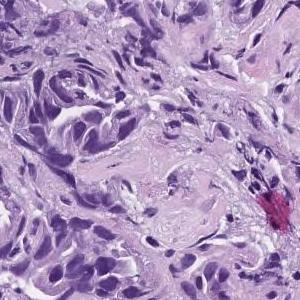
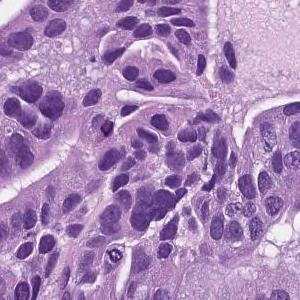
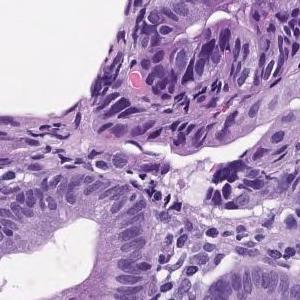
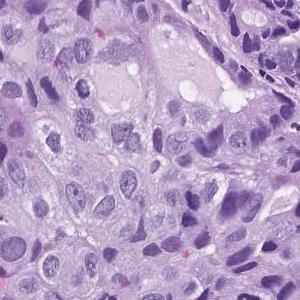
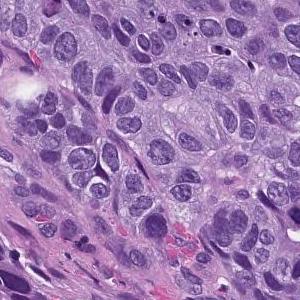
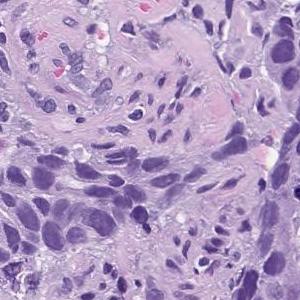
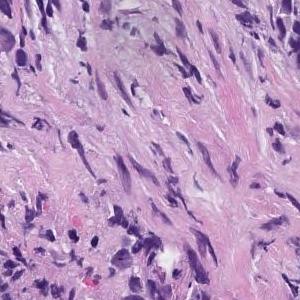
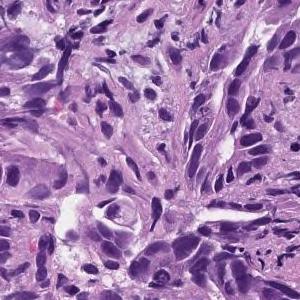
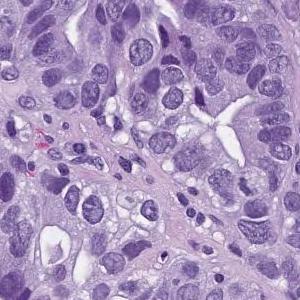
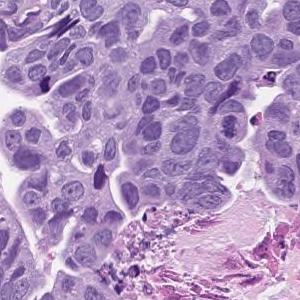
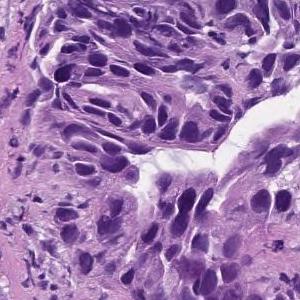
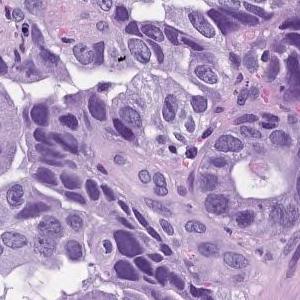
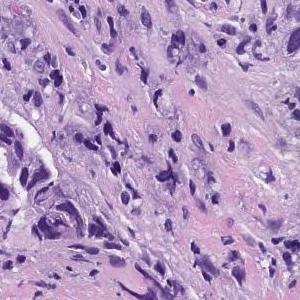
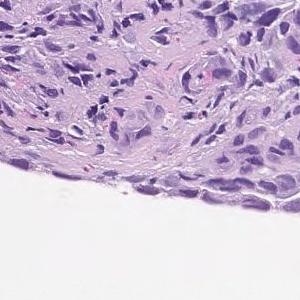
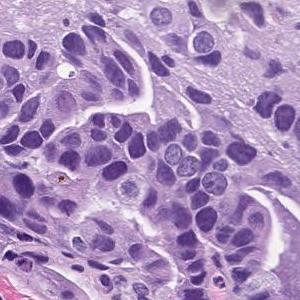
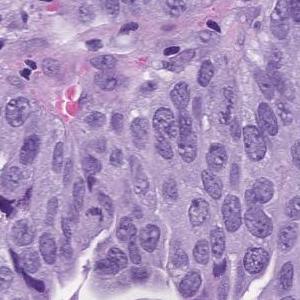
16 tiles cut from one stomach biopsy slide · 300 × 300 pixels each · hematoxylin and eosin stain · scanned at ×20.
Report on the slide these tiles come from. The report describes the whole slide, diagnosis included: not every finding it names need appear in these tiles, which may also show non-tumor tissue.
In the superficial epithelium, tumor tissue that invades by forming medium-sized to small, irregular ducts is observed. moderately differentiated tubular adenocarcinoma.
